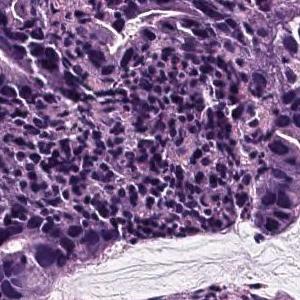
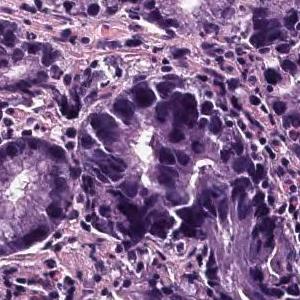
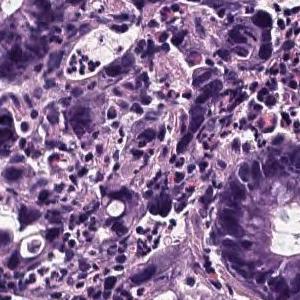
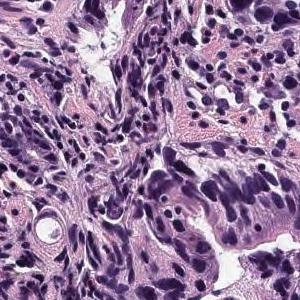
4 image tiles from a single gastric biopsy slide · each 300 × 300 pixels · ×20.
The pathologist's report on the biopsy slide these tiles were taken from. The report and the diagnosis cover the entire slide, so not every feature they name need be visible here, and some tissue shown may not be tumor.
Atypical l cells with atypical nuclei form irregular ducts and infiltrate. Well differentiated adenocarcinoma
Classified as well differentiated tubular adenocarcinoma.
